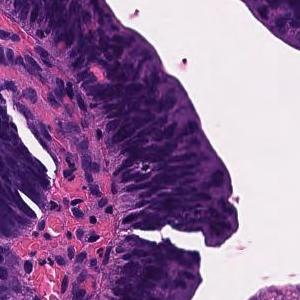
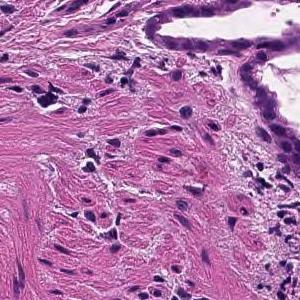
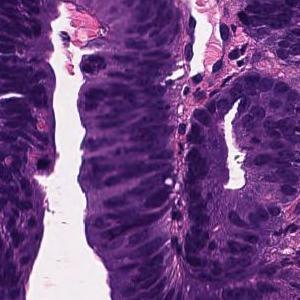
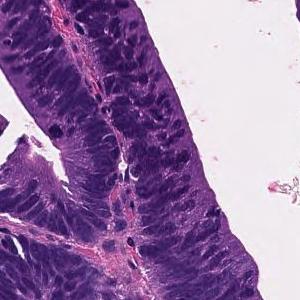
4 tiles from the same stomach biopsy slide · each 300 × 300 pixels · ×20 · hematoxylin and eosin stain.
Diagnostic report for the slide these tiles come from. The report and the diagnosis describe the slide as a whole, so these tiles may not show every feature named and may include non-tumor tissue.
Tumor tissue consisting of large papillary structures is found in the superficial epithelium. Papillary adenocarcinoma.
